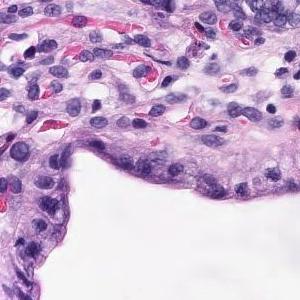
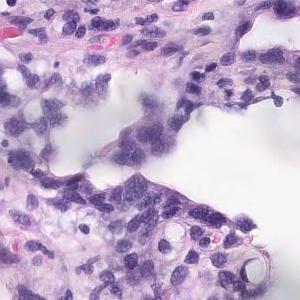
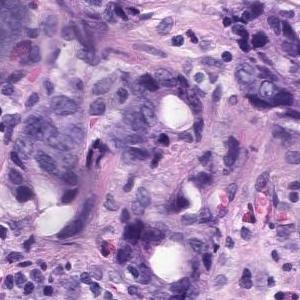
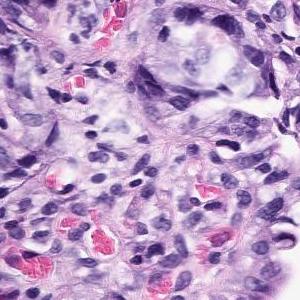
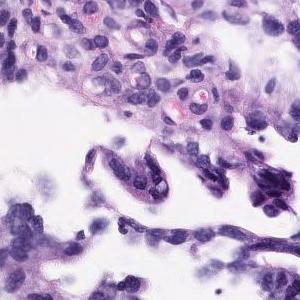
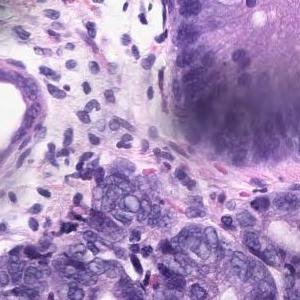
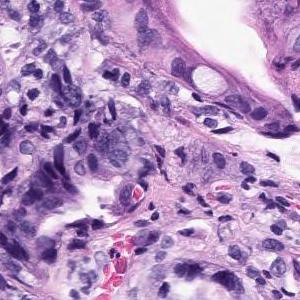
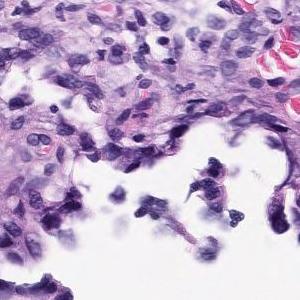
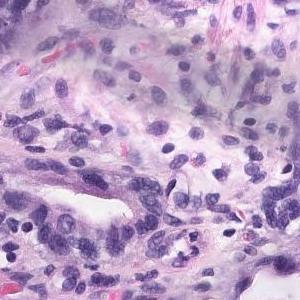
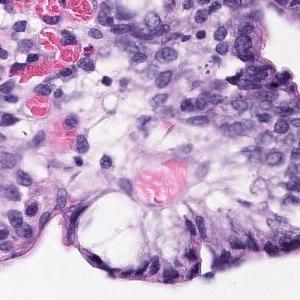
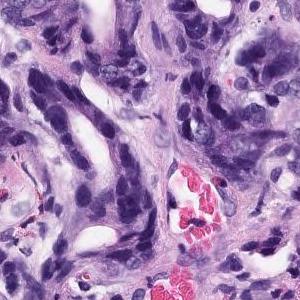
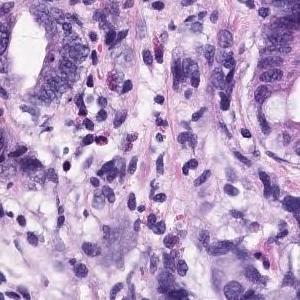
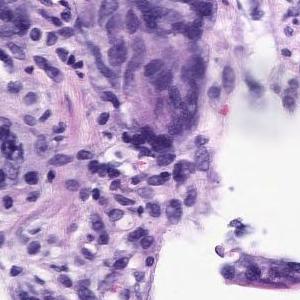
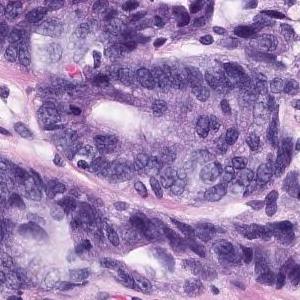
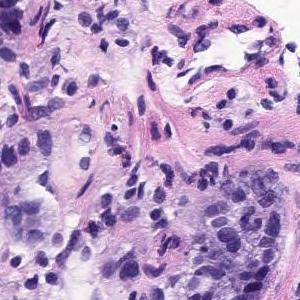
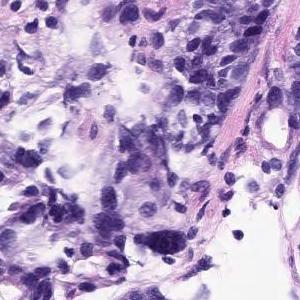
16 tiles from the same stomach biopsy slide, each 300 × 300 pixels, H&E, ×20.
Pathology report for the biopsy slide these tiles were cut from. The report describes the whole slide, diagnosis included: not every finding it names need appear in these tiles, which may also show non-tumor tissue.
In the superficial epithelium, tumor tissue that invades by forming medium-sized to small, irregular ducts is observed. Moderately differentiated adenocarcinoma
Tumor subtype: moderately differentiated tubular adenocarcinoma.
